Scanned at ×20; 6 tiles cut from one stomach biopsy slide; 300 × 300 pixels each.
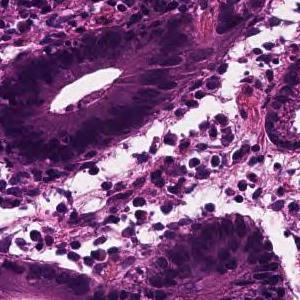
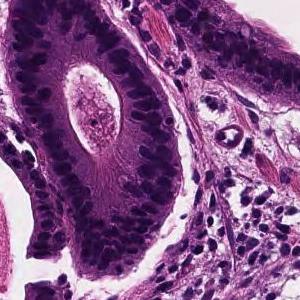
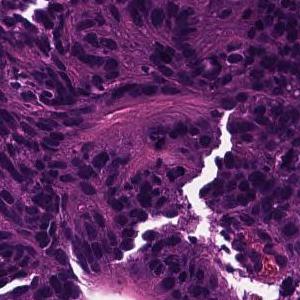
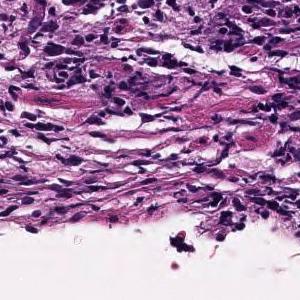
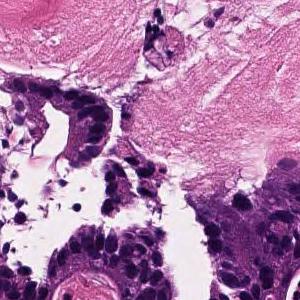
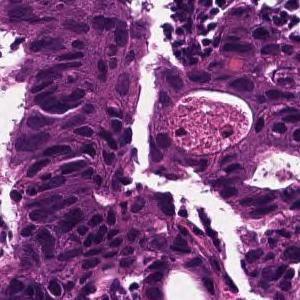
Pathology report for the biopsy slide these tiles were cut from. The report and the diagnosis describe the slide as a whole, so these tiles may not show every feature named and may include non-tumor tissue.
In the superficial epithelium, tumor tissue that invades by forming medium-sized to small, irregular ducts is observed. moderately differentiated tubular adenocarcinoma.
